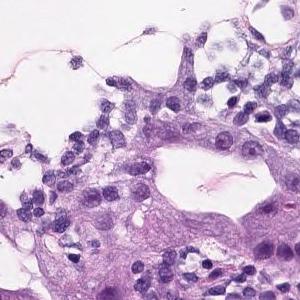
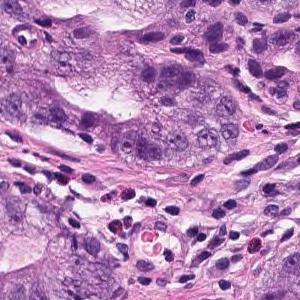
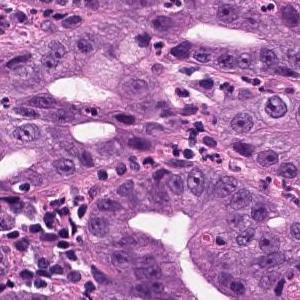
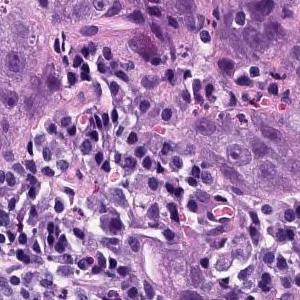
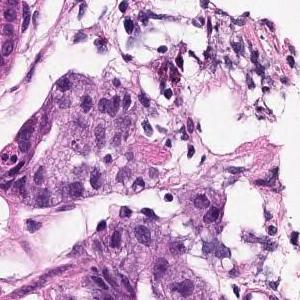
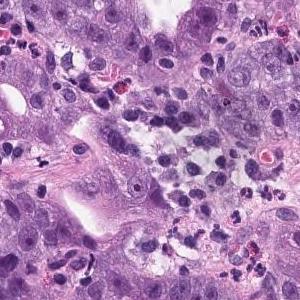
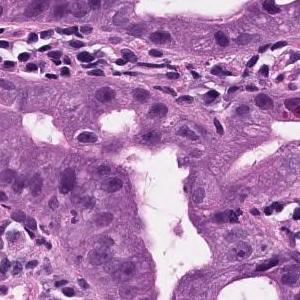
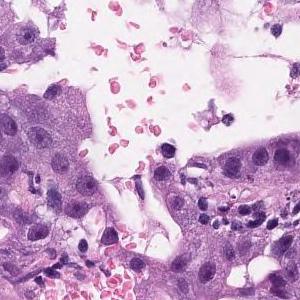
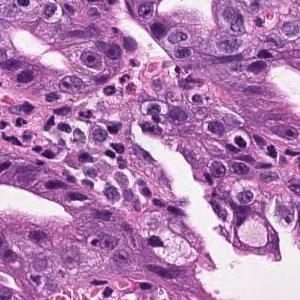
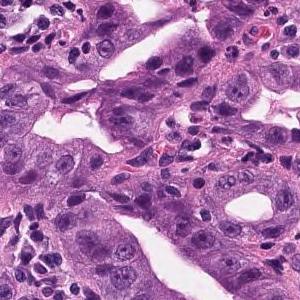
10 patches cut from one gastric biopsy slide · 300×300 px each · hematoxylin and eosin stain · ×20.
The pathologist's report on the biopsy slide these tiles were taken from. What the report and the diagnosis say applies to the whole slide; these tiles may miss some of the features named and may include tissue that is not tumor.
In the superficial epithelium, tumor tissue that invades by forming medium-sized to small, irregular ducts is observed. Well to moderately differentiated adenocarcinoma (well differentiated tubular adenocarcinoma, moderately differentiated tubular adenocarcinoma).
Classified as well to moderately differentiated tubular adenocarcinoma.
